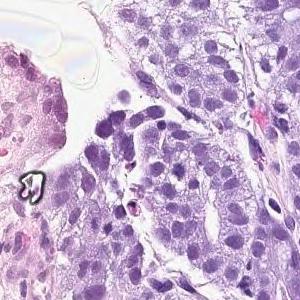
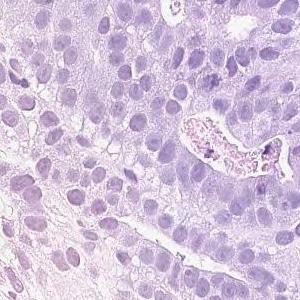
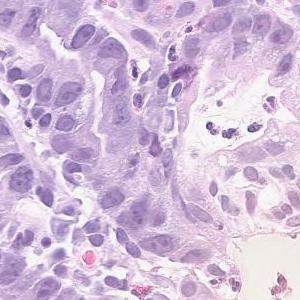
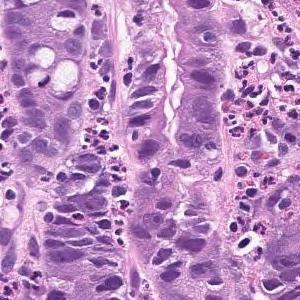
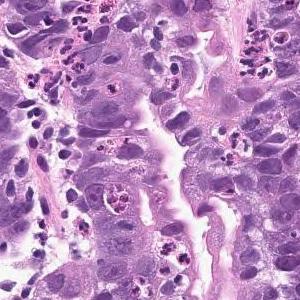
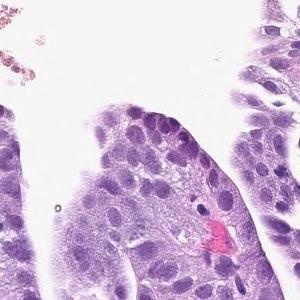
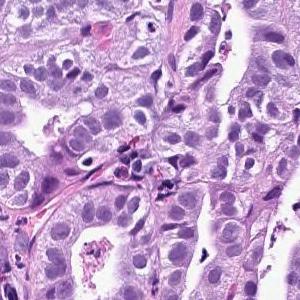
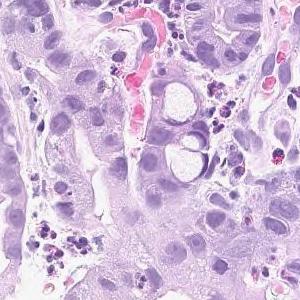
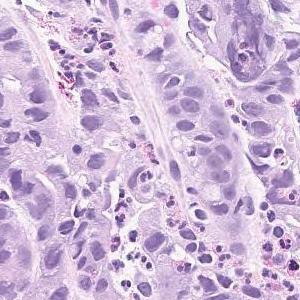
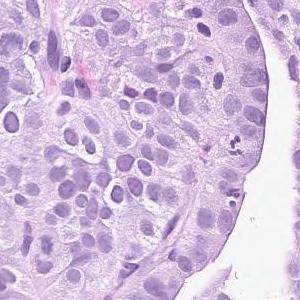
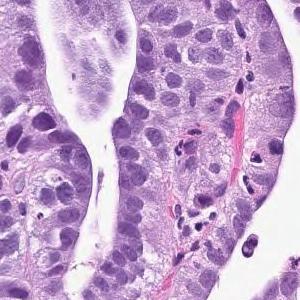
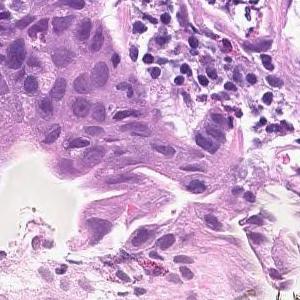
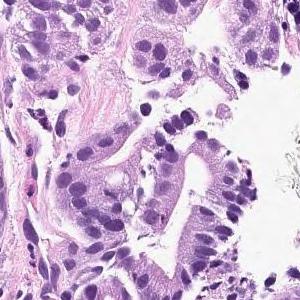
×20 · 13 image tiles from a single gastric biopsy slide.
Pathology report for the biopsy slide these tiles were cut from. What the report and the diagnosis say applies to the whole slide; these tiles may miss some of the features named and may include tissue that is not tumor.
Infiltrating tumor tissue is observed in the superficial epithelium, showing large papillary structures or large and small ducts. Papillary adenocarcinoma
